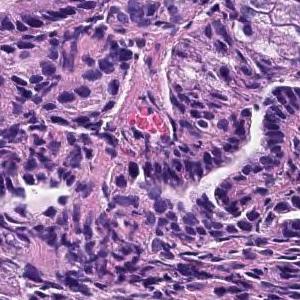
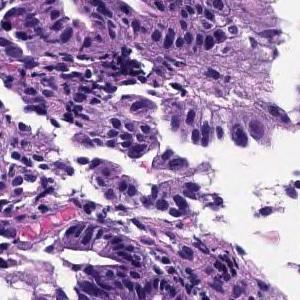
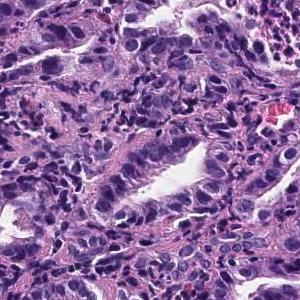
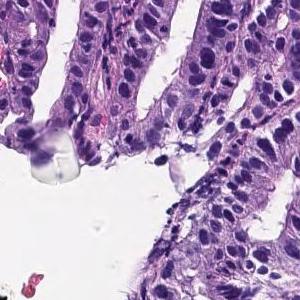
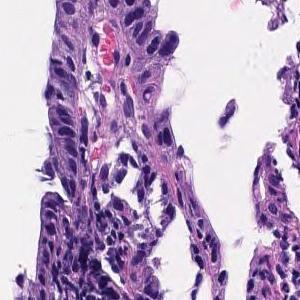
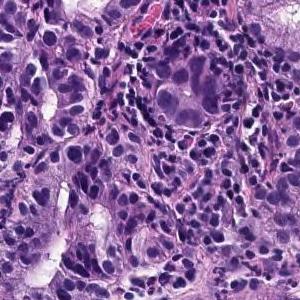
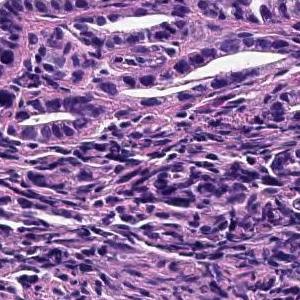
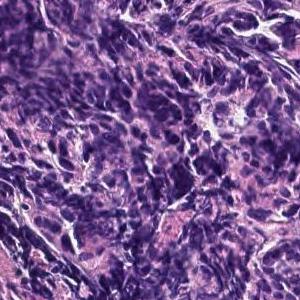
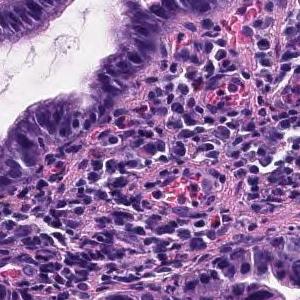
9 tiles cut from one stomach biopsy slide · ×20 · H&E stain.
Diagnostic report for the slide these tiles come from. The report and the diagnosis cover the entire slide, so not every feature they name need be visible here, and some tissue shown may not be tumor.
The superficial tumors shows large papillary structures or large and small ducts and infiltrates. Papillary adenocarcinoma.
